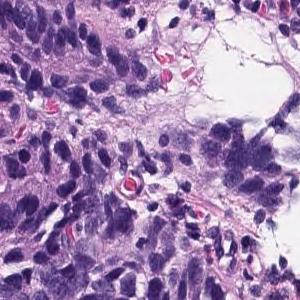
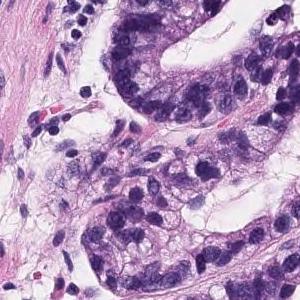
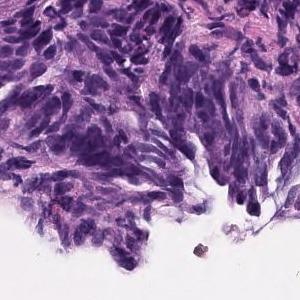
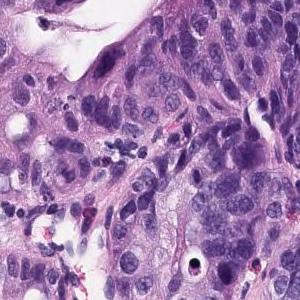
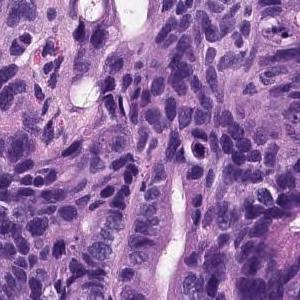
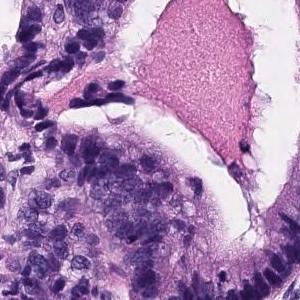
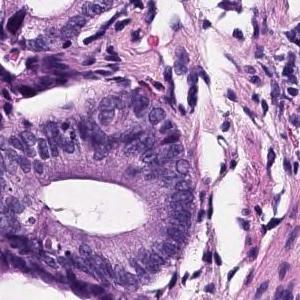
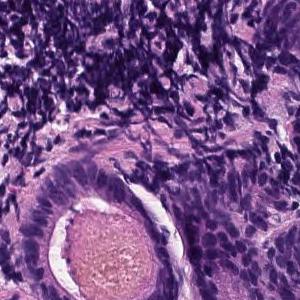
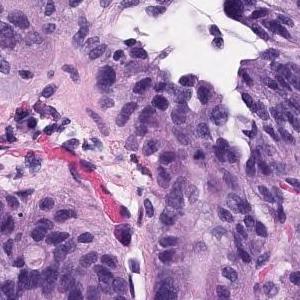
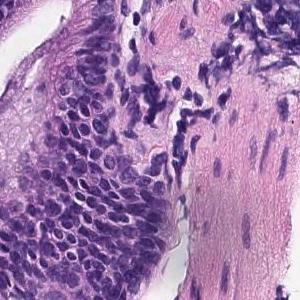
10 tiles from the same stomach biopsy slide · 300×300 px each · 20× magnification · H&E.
Pathology report for the biopsy slide these tiles were cut from. What the report and the diagnosis say applies to the whole slide; these tiles may miss some of the features named and may include tissue that is not tumor.
In the gastric mucosa, there is a dense proliferation of strong atypical tubules of nuclear atypia. Well differentiated adenocarcinoma.
Tumor subtype: well differentiated tubular adenocarcinoma.
